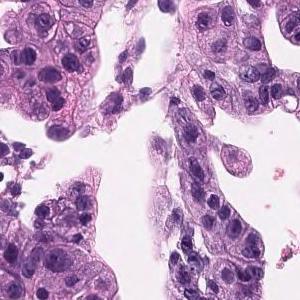
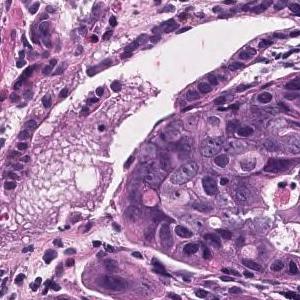
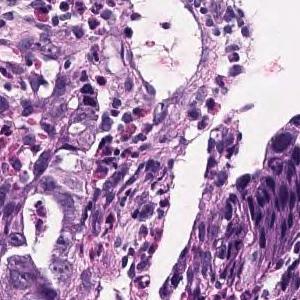
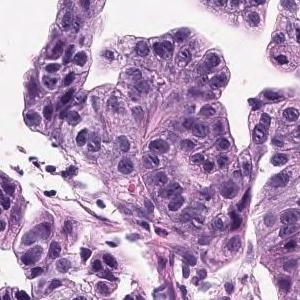
Scanned at ×20 · 4 tiles cut from one stomach biopsy slide · each 300 × 300 pixels.
Report on the slide these tiles come from. The report describes the whole slide, diagnosis included: not every finding it names need appear in these tiles, which may also show non-tumor tissue.
Tumor cells are large, highly columnar, large club-shaped nuclei, and are associated with chromatin aggregation. Papillary adenocarcinoma.
